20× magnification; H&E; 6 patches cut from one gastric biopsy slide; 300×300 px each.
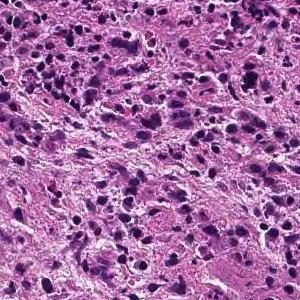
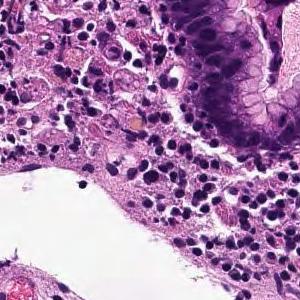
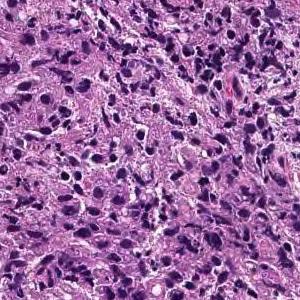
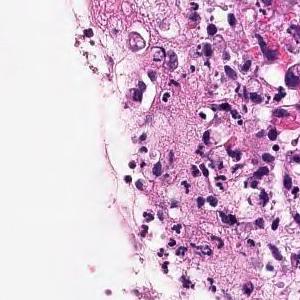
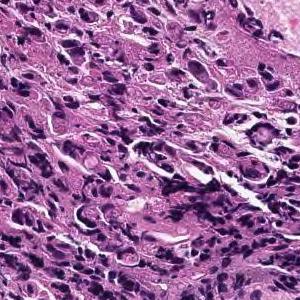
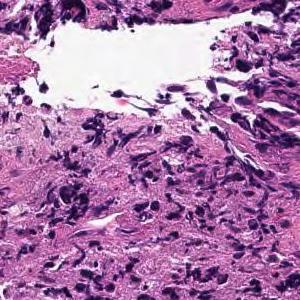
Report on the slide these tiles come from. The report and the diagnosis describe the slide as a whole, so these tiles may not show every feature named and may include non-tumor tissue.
Large sheet-like or diffusely infiltrating tumor tissue is found in the superficial epithelium. Poorly differentiated adenocarcinoma, solid-type
Subtype: Poorly differentiated adenocarcinoma, solid type. This name comes from the Japanese Classification of Gastric Carcinoma; the WHO 2019 classification calls it tubular adenocarcinoma, poorly differentiated.
